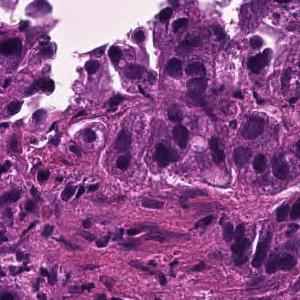
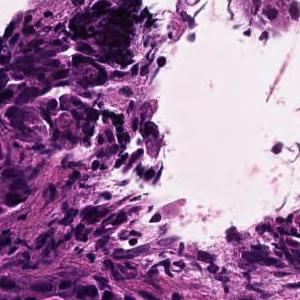
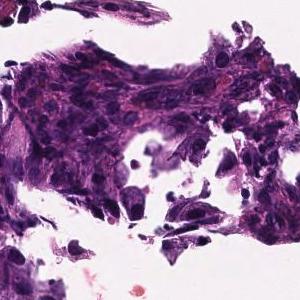
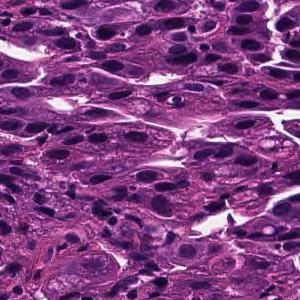
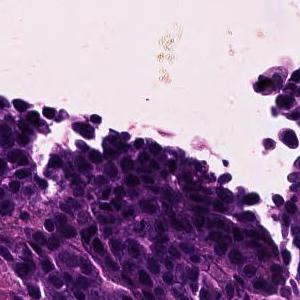
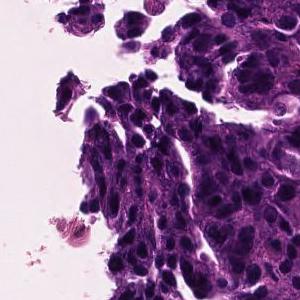
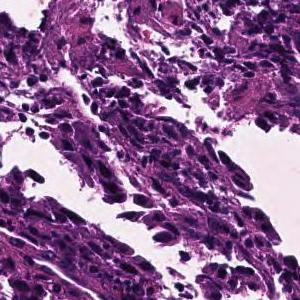
H&E stain; 20× magnification; 7 tiles cut from one stomach biopsy slide.
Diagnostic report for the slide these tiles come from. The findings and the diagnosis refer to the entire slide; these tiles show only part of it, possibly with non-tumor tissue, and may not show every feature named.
Tumor tissue consisting of medium-sized, cord-like or irregular glandular fusion and infiltration is observed in the superficial epithelium. Poorly differentiated adenocarcinoma, non-solid type or moderately differentiated tubular adenocarcinoma
Tumor subtype: moderately to poorly differentiated adenocarcinoma.
The term "non-solid type" comes from the Japanese Classification of Gastric Carcinoma.
